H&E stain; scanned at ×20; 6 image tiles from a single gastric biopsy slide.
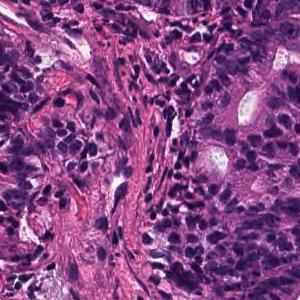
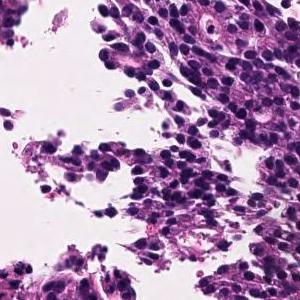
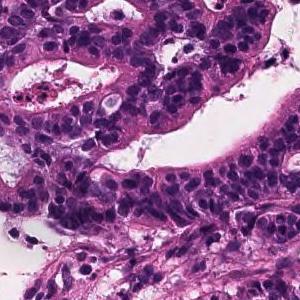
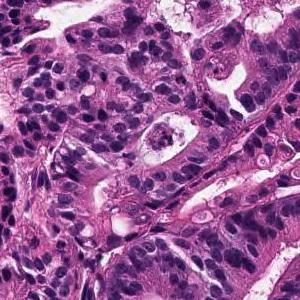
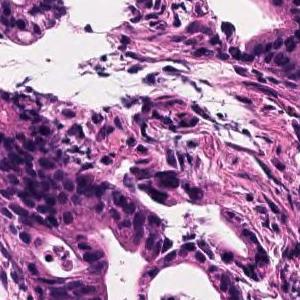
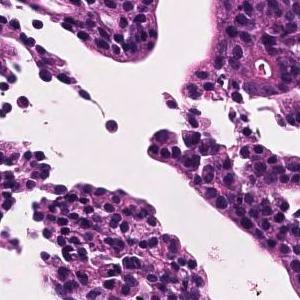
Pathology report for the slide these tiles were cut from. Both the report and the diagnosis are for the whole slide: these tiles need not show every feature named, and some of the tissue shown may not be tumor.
In the superficial epithelium, tumor tissue that invades by forming medium-sized to small, irregular ducts is observed. Moderately differentiated adenocarcinoma.
Classified as moderately differentiated tubular adenocarcinoma.
